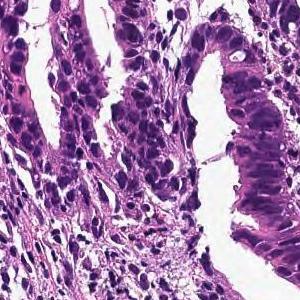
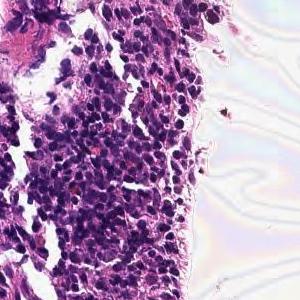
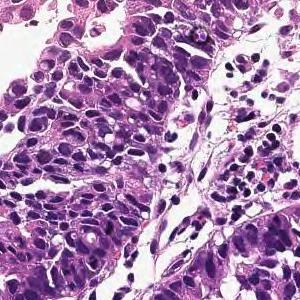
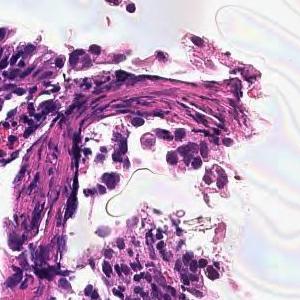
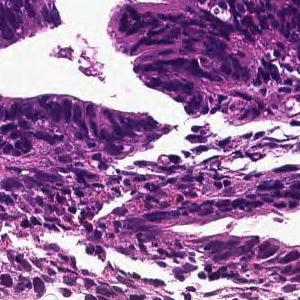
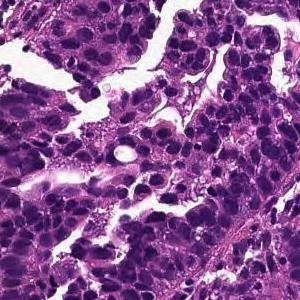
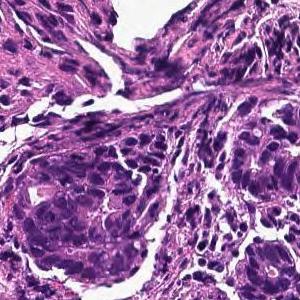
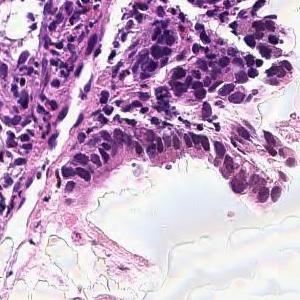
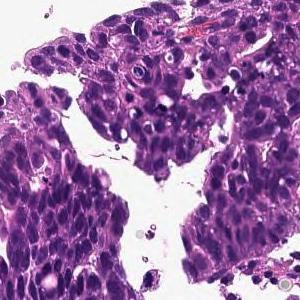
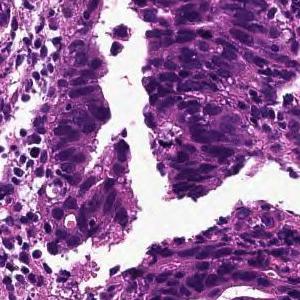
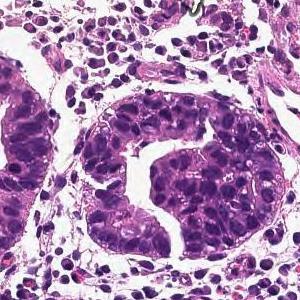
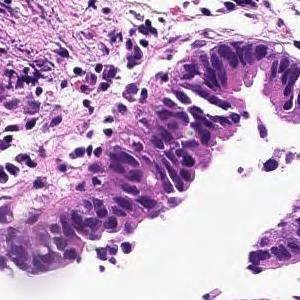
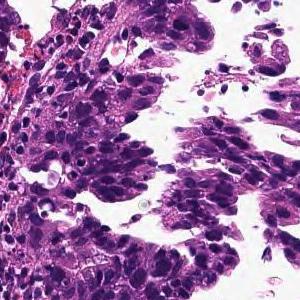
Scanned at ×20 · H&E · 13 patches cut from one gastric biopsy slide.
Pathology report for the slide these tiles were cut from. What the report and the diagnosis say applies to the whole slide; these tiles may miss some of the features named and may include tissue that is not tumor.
In the superficial epithelium, tumor tissue that invades by forming medium-sized to small, irregular ducts is observed. moderately differentiated tubular adenocarcinoma.
